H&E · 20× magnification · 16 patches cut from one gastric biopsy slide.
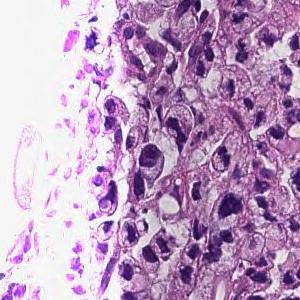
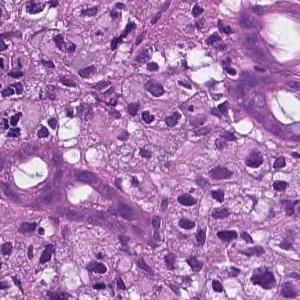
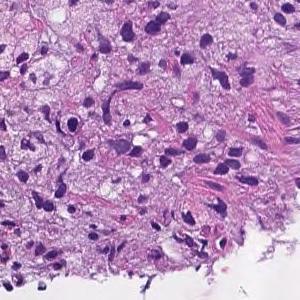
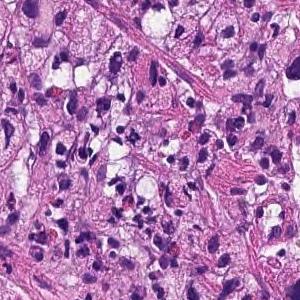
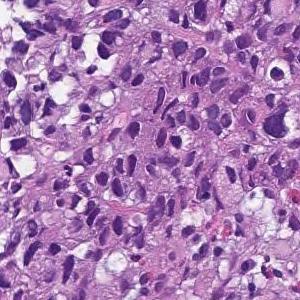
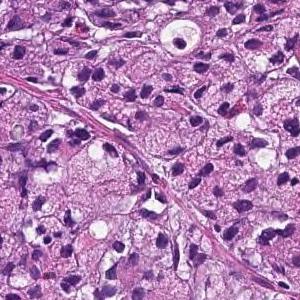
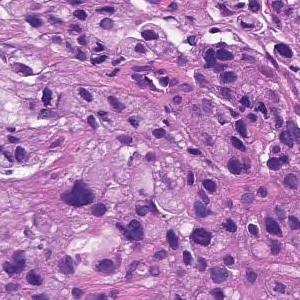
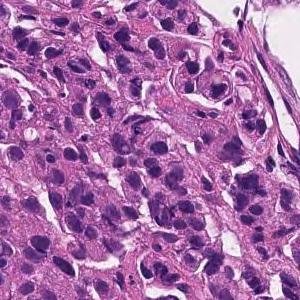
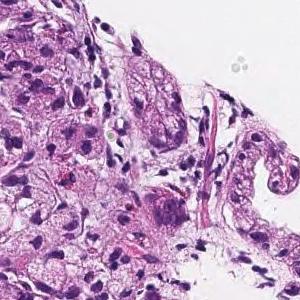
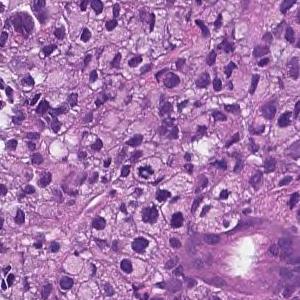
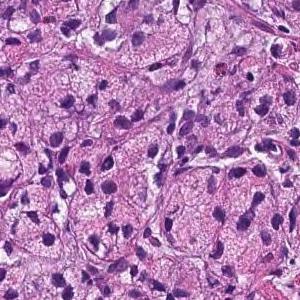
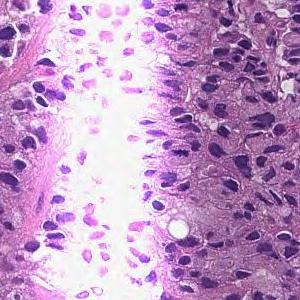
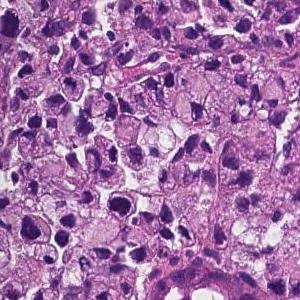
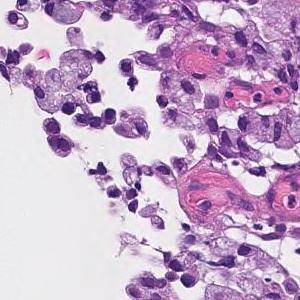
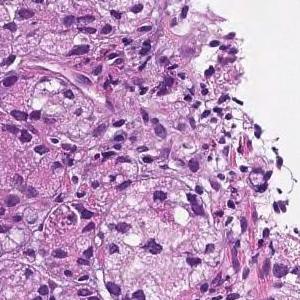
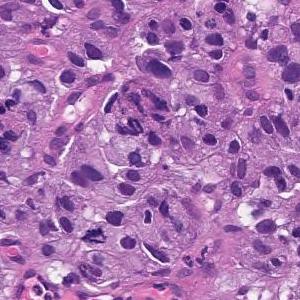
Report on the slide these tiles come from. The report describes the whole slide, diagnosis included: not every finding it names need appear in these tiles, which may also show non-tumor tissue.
In the lamina propria, a tumor tissue consisting of signet ring cell type atypical epithelial cells infiltrating is observed. Signet ring cell carcinoma.
